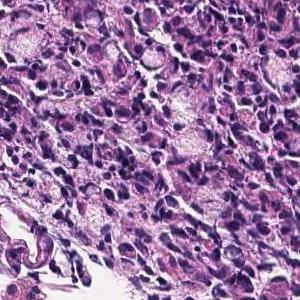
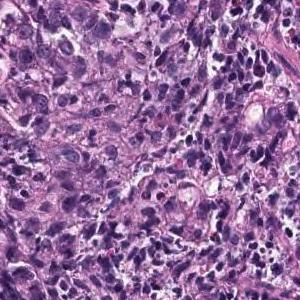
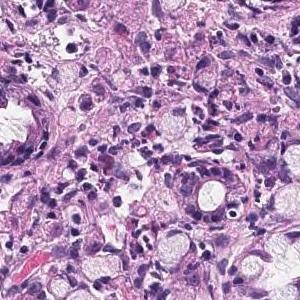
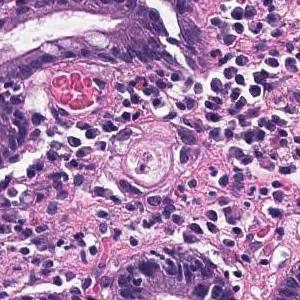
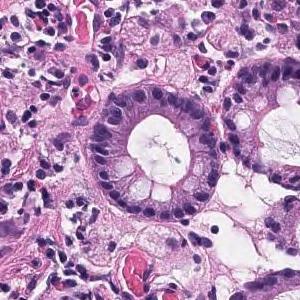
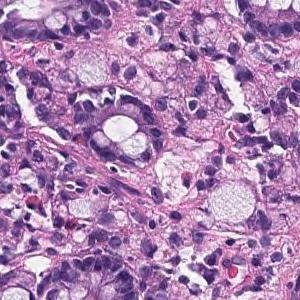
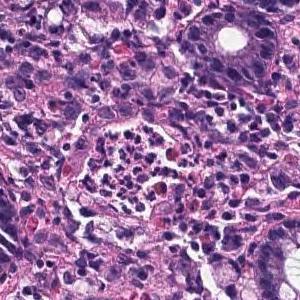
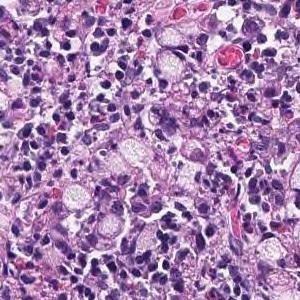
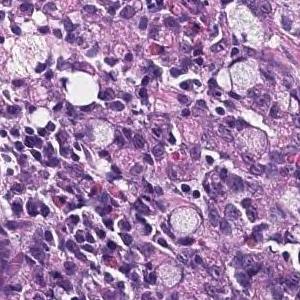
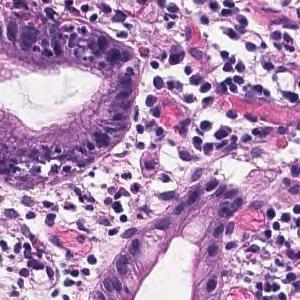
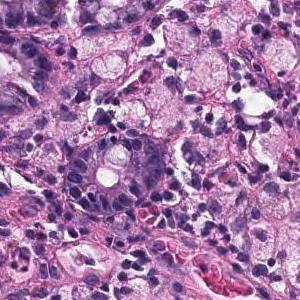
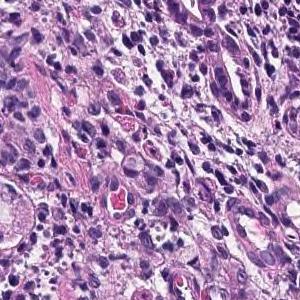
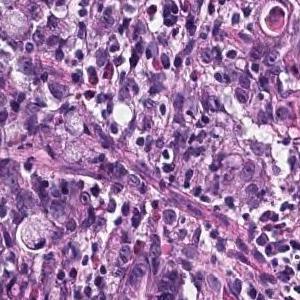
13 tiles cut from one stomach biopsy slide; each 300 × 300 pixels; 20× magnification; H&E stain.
Diagnostic report for the slide these tiles come from. Both the report and the diagnosis are for the whole slide: these tiles need not show every feature named, and some of the tissue shown may not be tumor.
A tumor tissue consisting of signet ring cell carcinoma cells is observed in the lamina propria. Signet ring cell carcinoma.
